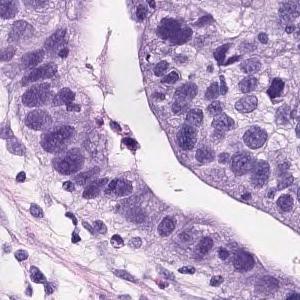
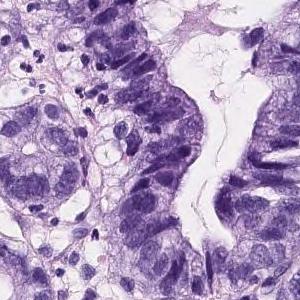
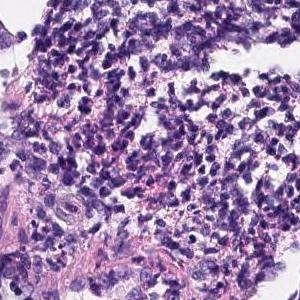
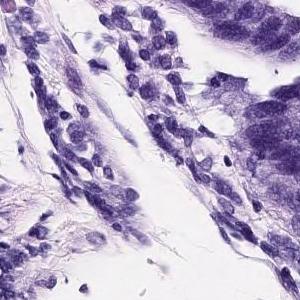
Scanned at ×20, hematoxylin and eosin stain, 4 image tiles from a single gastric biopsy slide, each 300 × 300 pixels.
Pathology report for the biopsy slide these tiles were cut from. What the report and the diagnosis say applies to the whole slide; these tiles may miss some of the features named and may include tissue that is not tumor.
On the superficial epithelium, tumor tissue consisting of medium to small irregular tubules partially fused and proliferated is observed. moderately differentiated tubular adenocarcinoma
